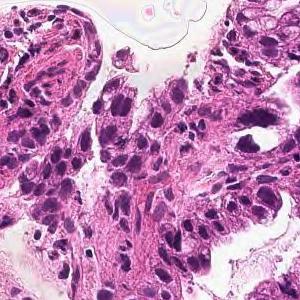
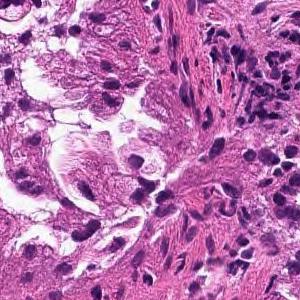
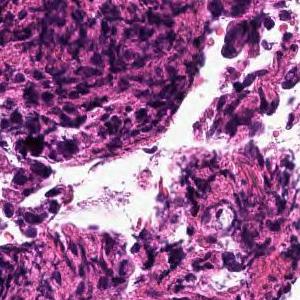
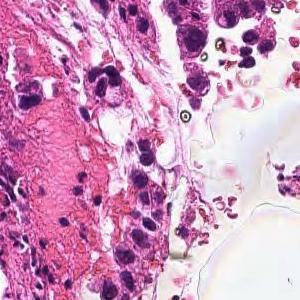
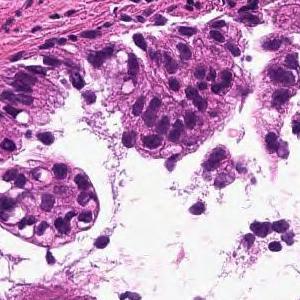
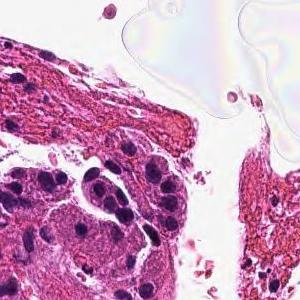
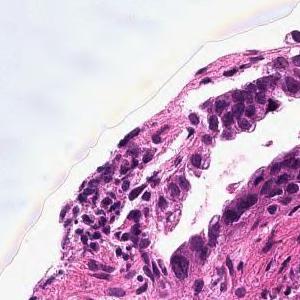
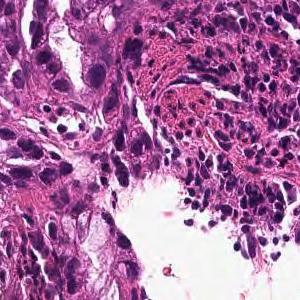
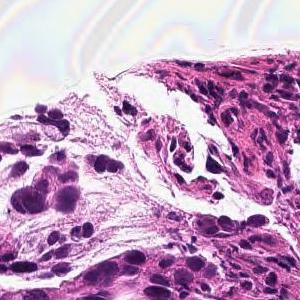
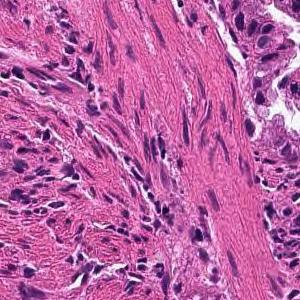
×20, H&E, 10 image tiles from a single gastric biopsy slide, 300 × 300 pixels each.
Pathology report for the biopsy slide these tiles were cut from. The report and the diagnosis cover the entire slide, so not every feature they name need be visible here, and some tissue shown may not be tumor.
From the superficial epithelium to the muscularis mucosae, tumor tissue infiltrating by forming medium-sized irregular gland ducts is observed. Well differentiated tubular adenocarcinoma
